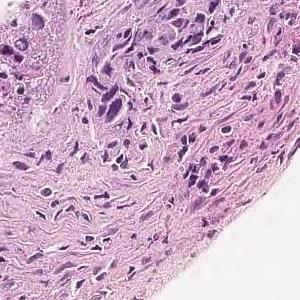
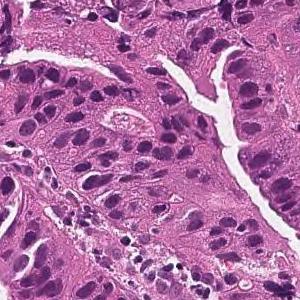
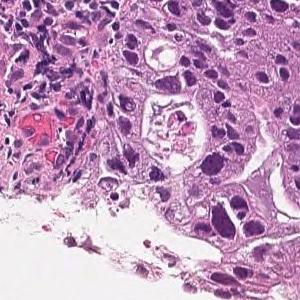
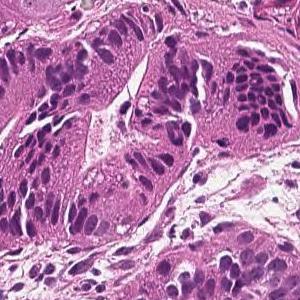
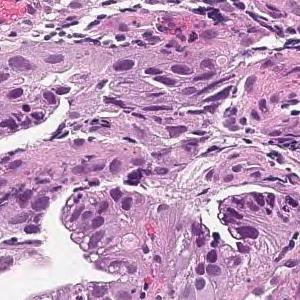
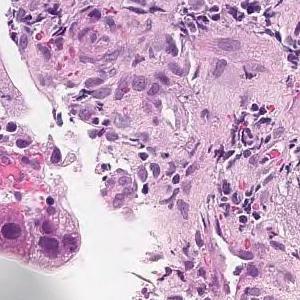
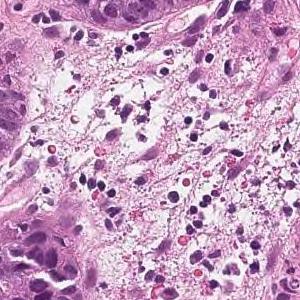
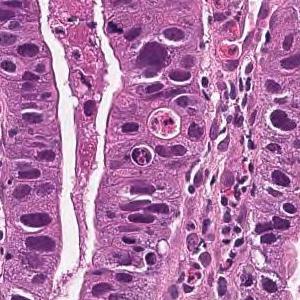
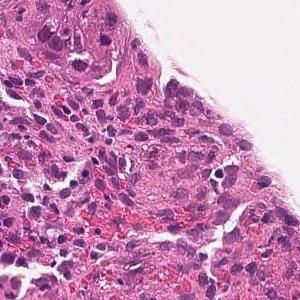
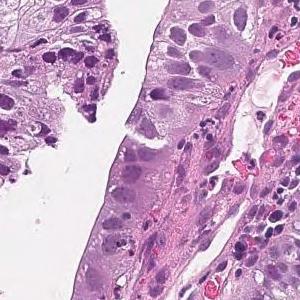
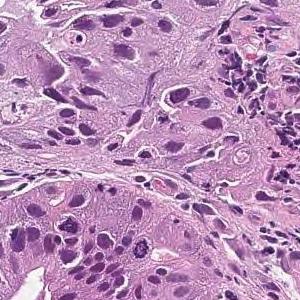
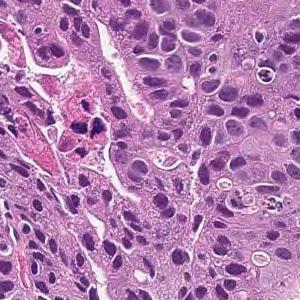
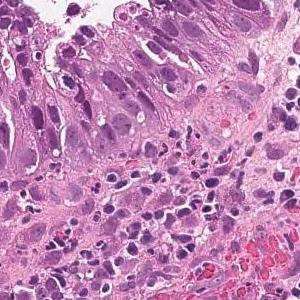
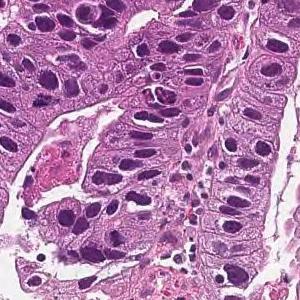
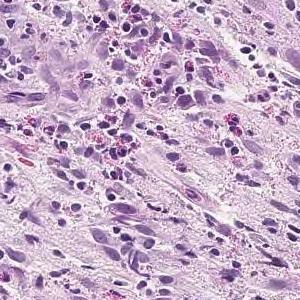
H&E · 15 tiles from the same stomach biopsy slide.
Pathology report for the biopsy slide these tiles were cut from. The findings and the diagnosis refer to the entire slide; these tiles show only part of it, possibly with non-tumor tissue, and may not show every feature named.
In the superficial epithelium, tumor tissue that invades by forming medium-sized to small, irregular ducts is observed. moderately differentiated tubular adenocarcinoma.
